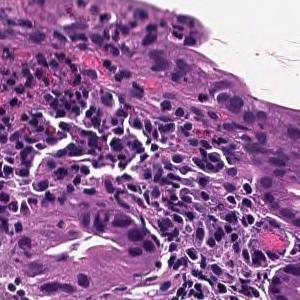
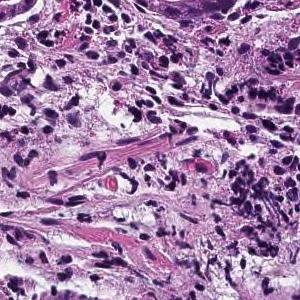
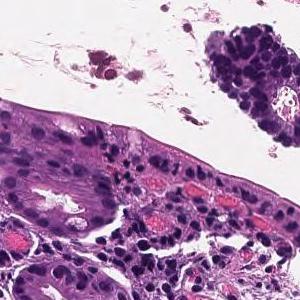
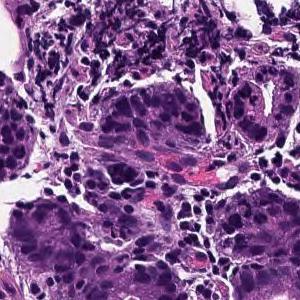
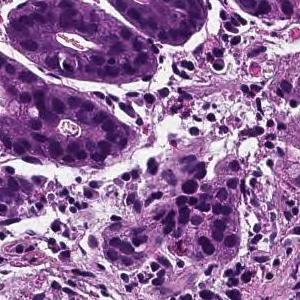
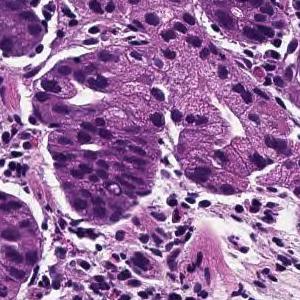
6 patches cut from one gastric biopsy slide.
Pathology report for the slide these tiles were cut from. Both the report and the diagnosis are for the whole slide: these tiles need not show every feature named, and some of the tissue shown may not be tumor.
From the superficial epithelium to the muscularis mucosae, tumor tissue consisting of medium-sized and irregular glandular ducts infiltrating is observed. Well differentiated tubular adenocarcinoma
